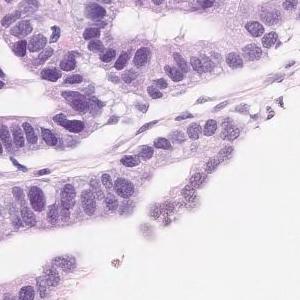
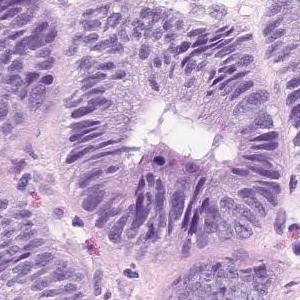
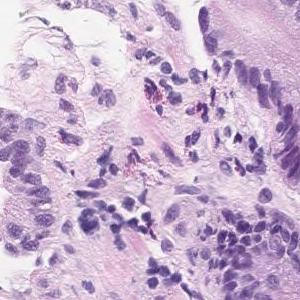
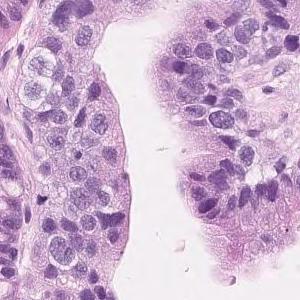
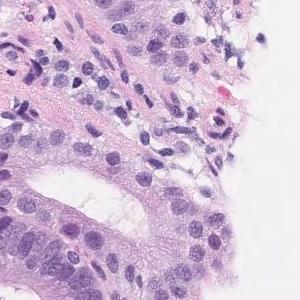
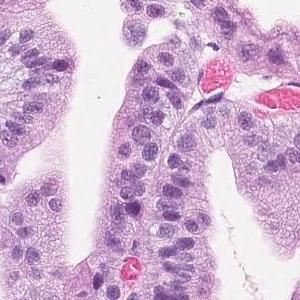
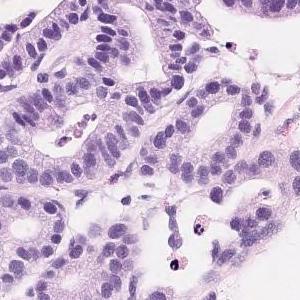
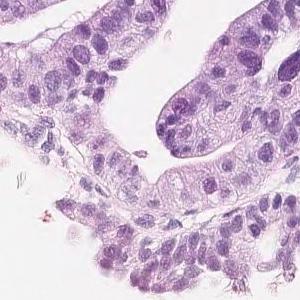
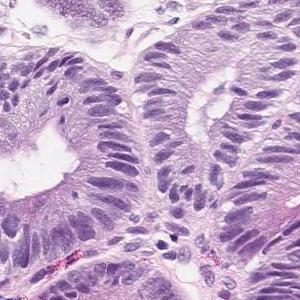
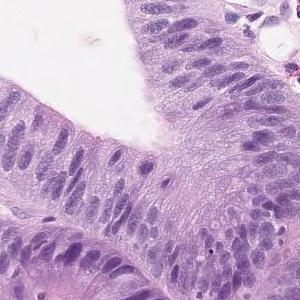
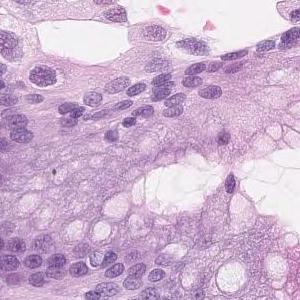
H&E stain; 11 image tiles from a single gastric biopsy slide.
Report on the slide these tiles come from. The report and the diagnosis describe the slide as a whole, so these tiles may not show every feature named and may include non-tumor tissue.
Short atypical epithelium with swelling of the nucleus shows proliferating, large and small irregular ductal structures. Well to moderately differentiated tubular adenocarcinoma (well differentiated tubular adenocarcinoma-moderately differentiated tubular adenocarcinoma)
Subtype: Well to moderately differentiated tubular adenocarcinoma.
